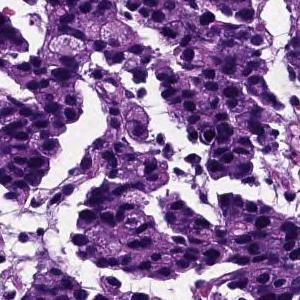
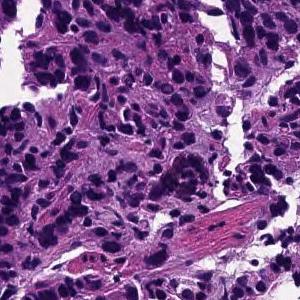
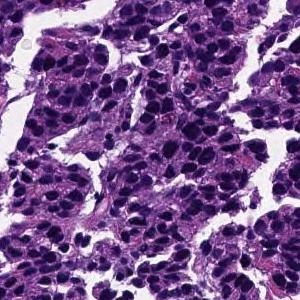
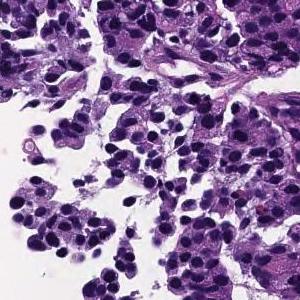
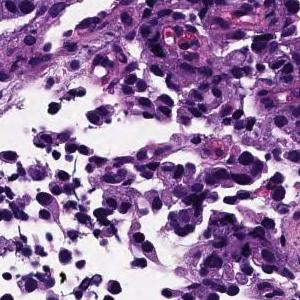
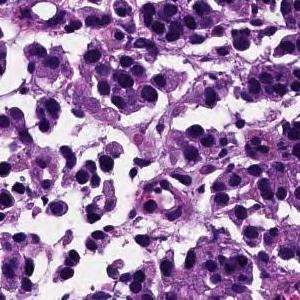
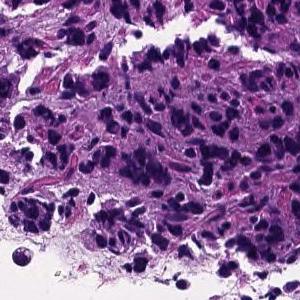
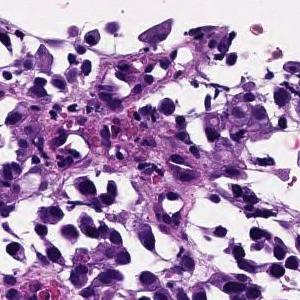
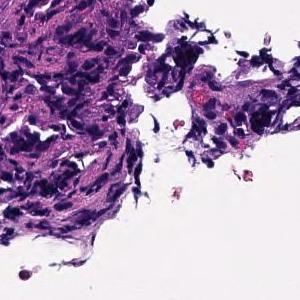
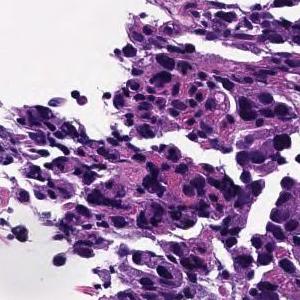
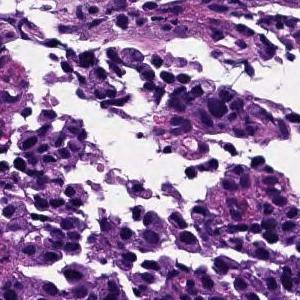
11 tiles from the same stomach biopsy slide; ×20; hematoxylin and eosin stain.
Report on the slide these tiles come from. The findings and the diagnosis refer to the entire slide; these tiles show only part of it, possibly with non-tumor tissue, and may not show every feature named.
The superficial epithelium shows a large alveolar shape and infiltrates tumor tissue. Poorly differentiated adenocarcinoma, solid-type
Classified as poorly differentiated adenocarcinoma, solid type, a category of the Japanese Classification of Gastric Carcinoma; in the WHO 2019 classification it is tubular adenocarcinoma, poorly differentiated.
